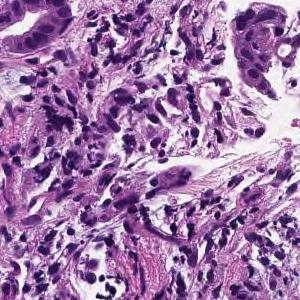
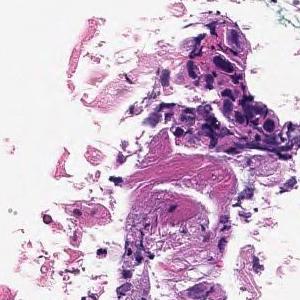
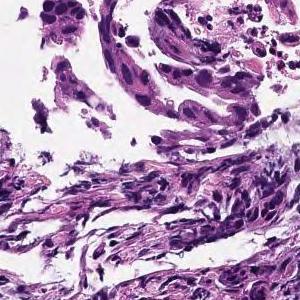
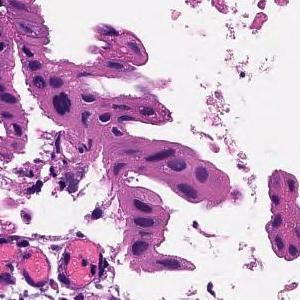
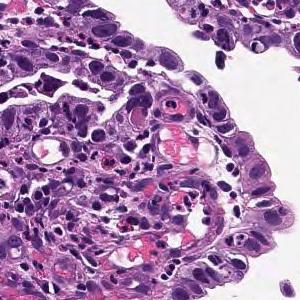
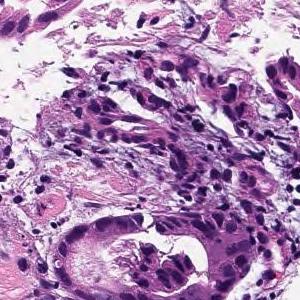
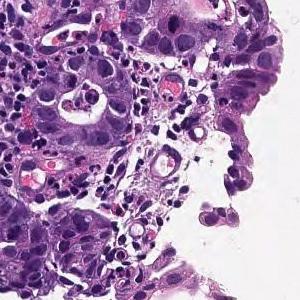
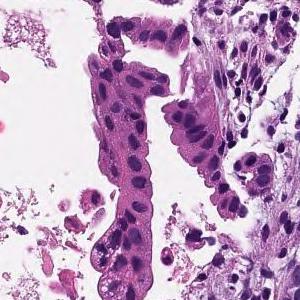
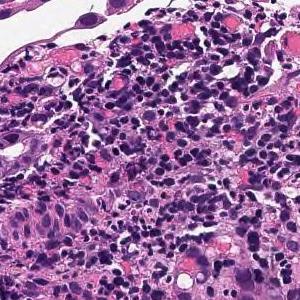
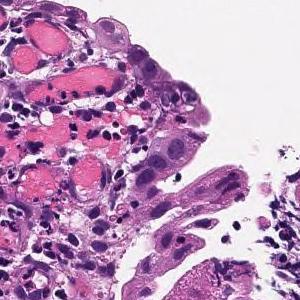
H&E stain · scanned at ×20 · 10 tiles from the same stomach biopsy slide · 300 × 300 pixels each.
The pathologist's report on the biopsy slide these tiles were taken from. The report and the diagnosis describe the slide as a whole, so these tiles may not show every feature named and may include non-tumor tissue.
In the superficial epithelium, tumor tissue that invades by forming medium-sized to small, irregular ducts is observed. moderately differentiated tubular adenocarcinoma.
